13 image tiles from a single gastric biopsy slide · H&E · 20× magnification.
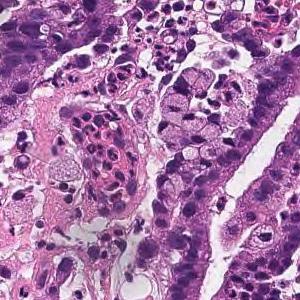
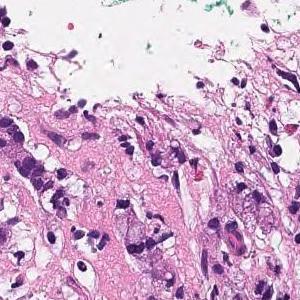
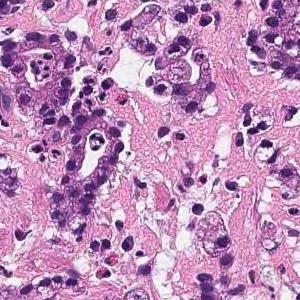
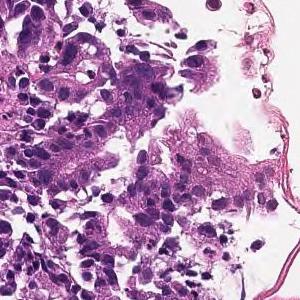
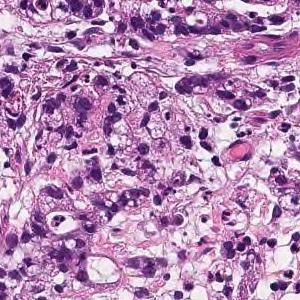
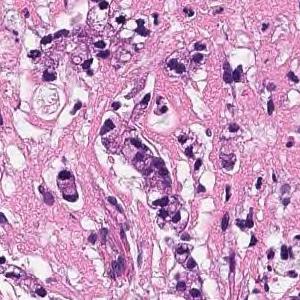
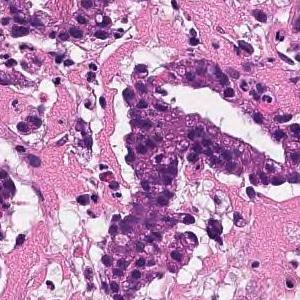
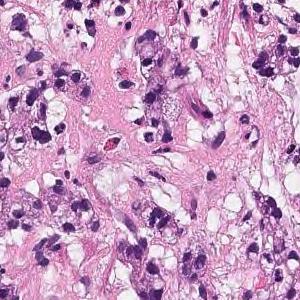
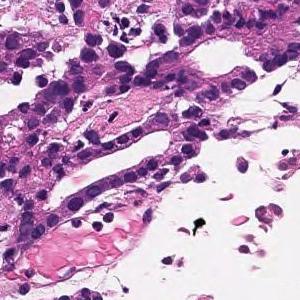
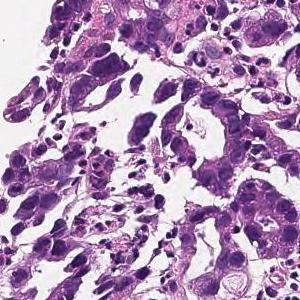
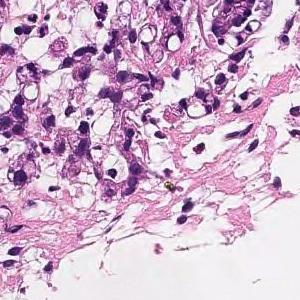
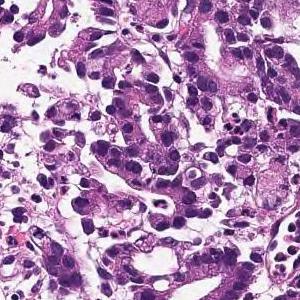
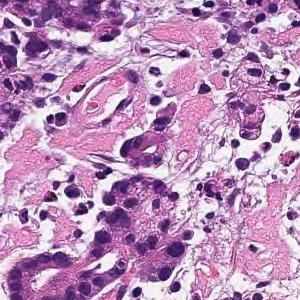
Report on the slide these tiles come from. Both the report and the diagnosis are for the whole slide: these tiles need not show every feature named, and some of the tissue shown may not be tumor.
In the superficial epithelium, tumor tissue that invades by forming medium-sized to small, irregular ducts is observed. moderately differentiated tubular adenocarcinoma.
